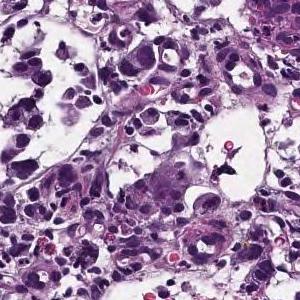
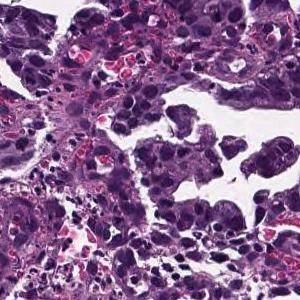
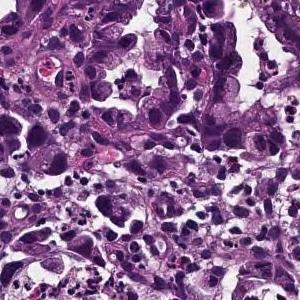
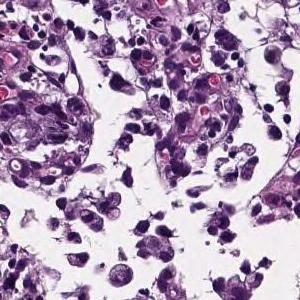
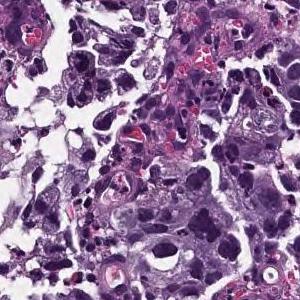
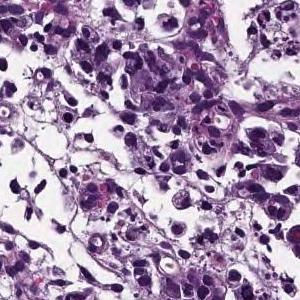
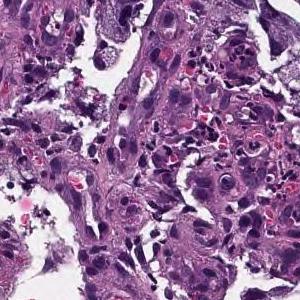
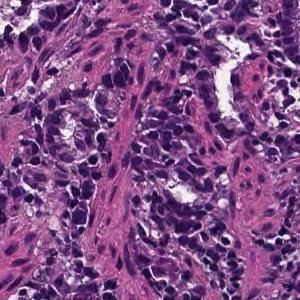
8 tiles from the same stomach biopsy slide, each 300 × 300 pixels, H&E, scanned at ×20.
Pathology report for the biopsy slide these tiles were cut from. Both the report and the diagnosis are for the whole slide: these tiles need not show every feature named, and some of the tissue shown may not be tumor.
Medium to small, irregular glandular ducts are formed in the superficial epithelium, and in some cases, the glandular ducts are fused to show solid alveolar lesions and infiltrating tumor tissue is observed. Moderately to poorly differentiated adenocarcinoma.
